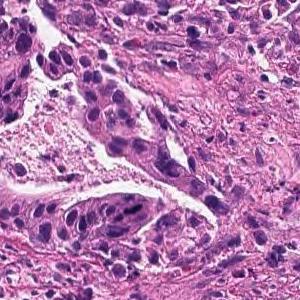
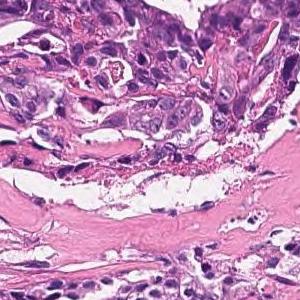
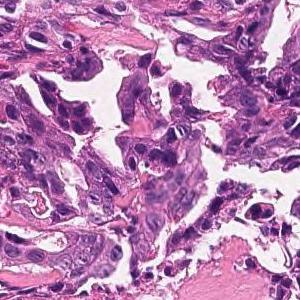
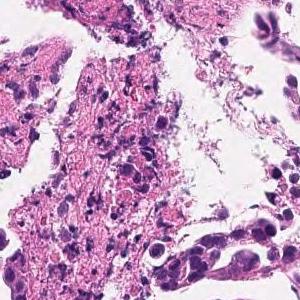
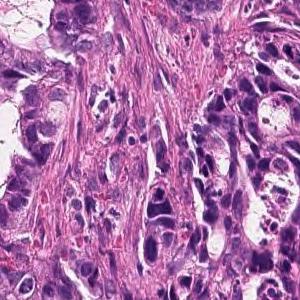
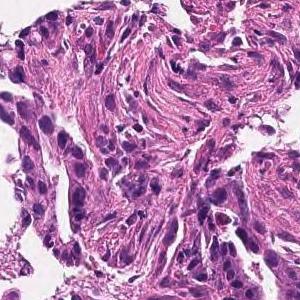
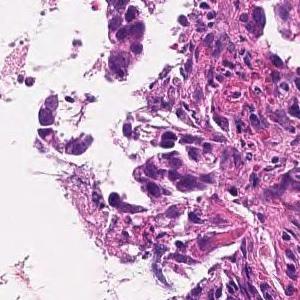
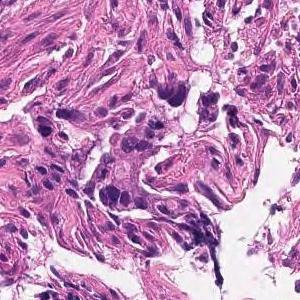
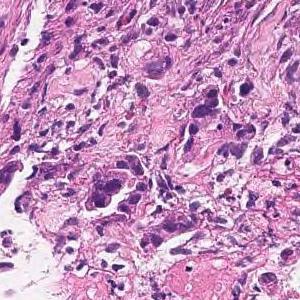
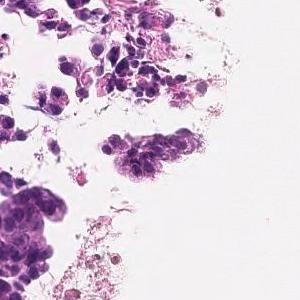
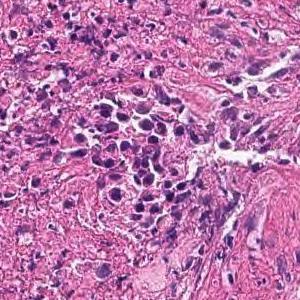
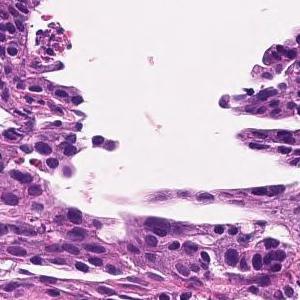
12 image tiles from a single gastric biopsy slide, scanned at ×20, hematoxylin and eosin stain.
Pathology report for the slide these tiles were cut from. What the report and the diagnosis say applies to the whole slide; these tiles may miss some of the features named and may include tissue that is not tumor.
On the superficial epithelium, tumor tissue consisting of images of small to medium-sized and irregular tubules infiltrating with irregular fusion is observed. moderately differentiated tubular adenocarcinoma
